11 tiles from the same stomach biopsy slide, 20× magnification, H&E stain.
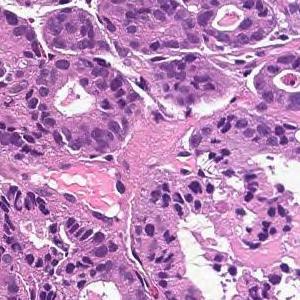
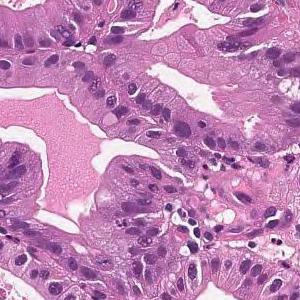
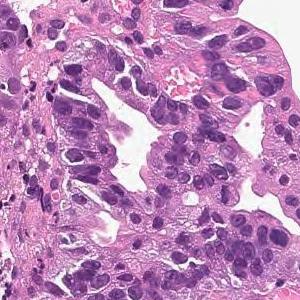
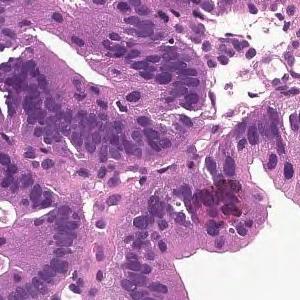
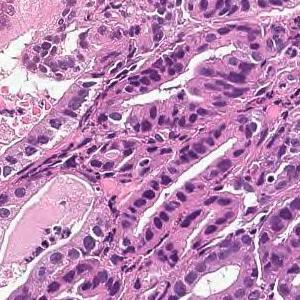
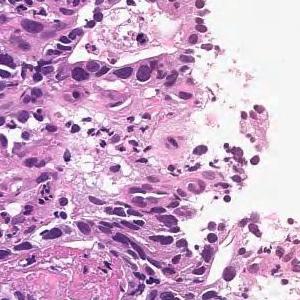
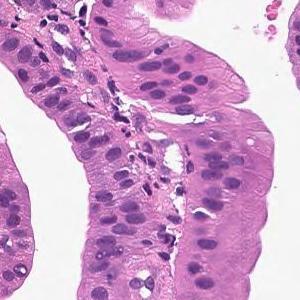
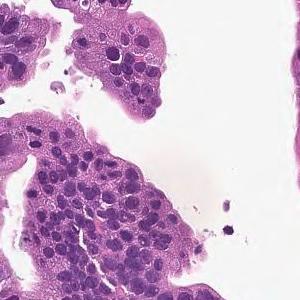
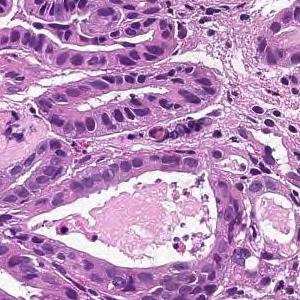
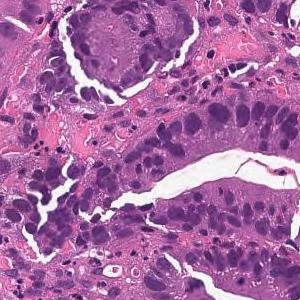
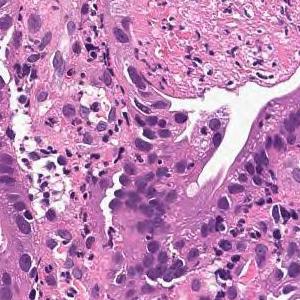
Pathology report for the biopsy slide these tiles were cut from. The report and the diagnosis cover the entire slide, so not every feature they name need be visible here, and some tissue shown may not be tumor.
From the superficial epithelium to the muscularis mucosae, tumor tissue consisting of medium-sized and irregular glandular ducts infiltrating is observed. Well differentiated tubular adenocarcinoma
